9 patches cut from one gastric biopsy slide; ×20; H&E stain.
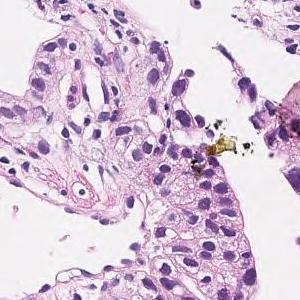
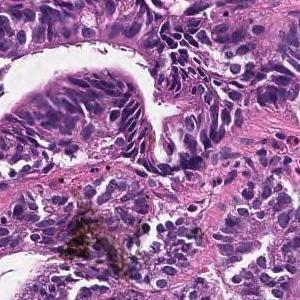
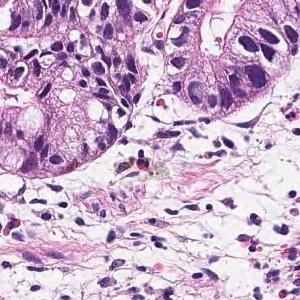
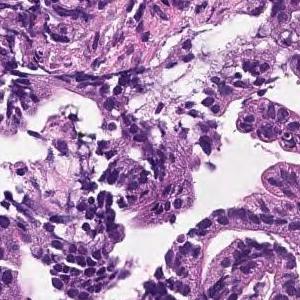
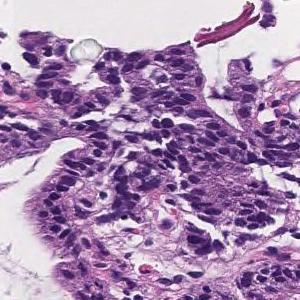
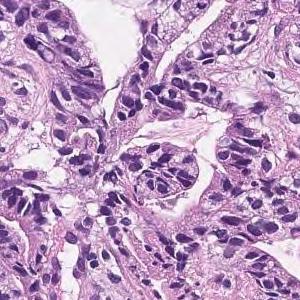
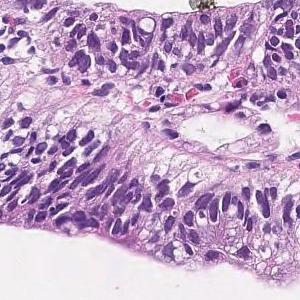
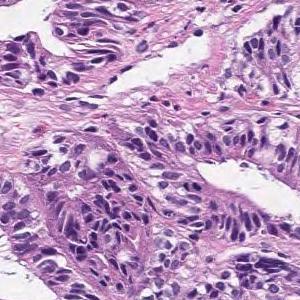
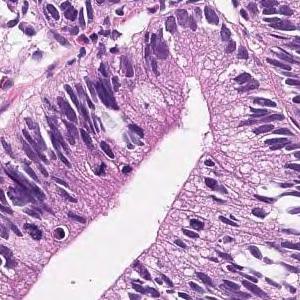
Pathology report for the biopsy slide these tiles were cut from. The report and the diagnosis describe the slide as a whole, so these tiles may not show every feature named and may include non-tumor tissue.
In the superficial epithelium, tumor tissue that invades by forming medium-sized to small, irregular ducts is observed. Moderately differentiated adenocarcinoma.
Classified as moderately differentiated tubular adenocarcinoma.
